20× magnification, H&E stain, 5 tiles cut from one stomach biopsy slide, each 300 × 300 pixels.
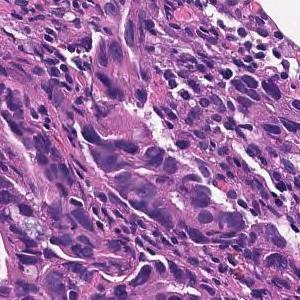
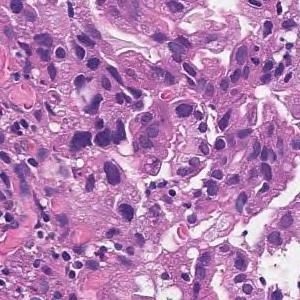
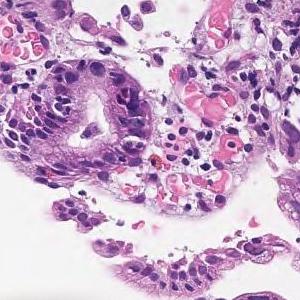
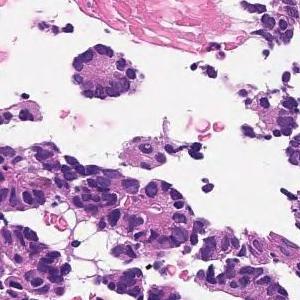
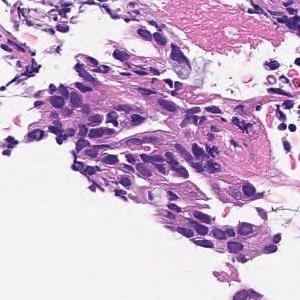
Pathology report for the slide these tiles were cut from. The report describes the whole slide, diagnosis included: not every finding it names need appear in these tiles, which may also show non-tumor tissue.
In the superficial epithelium, tumor tissue that invades by forming medium-sized to small, irregular ducts is observed. moderately differentiated tubular adenocarcinoma.
